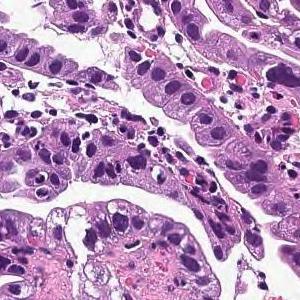
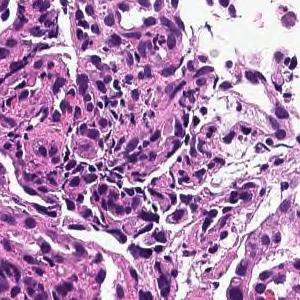
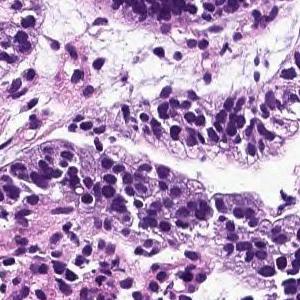
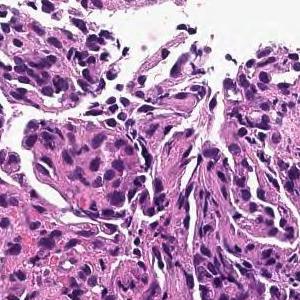
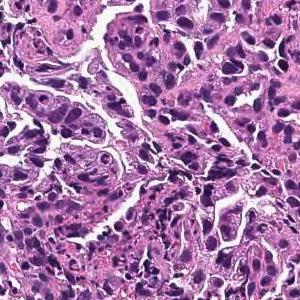
5 image tiles from a single gastric biopsy slide, 300×300 px each, H&E, 20× magnification.
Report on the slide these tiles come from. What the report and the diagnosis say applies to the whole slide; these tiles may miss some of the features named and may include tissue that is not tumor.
On the superficial epithelium, tumor tissue that infiltrates by forming medium-sized papillary or small irregular ducts is observed. Papillary adenocarcinoma
